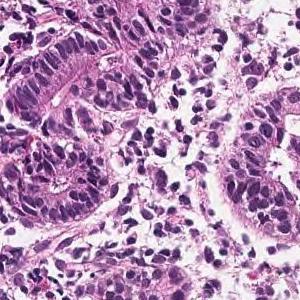
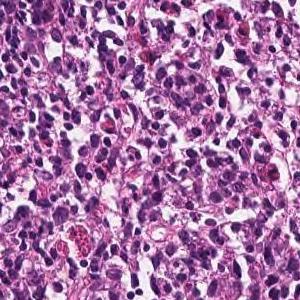
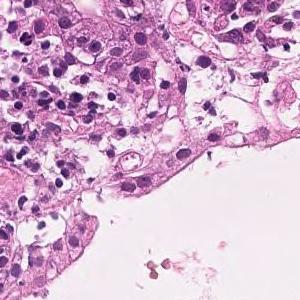
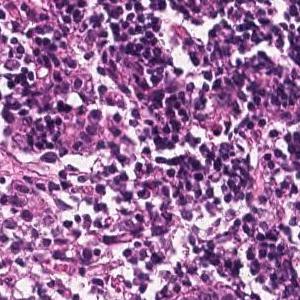
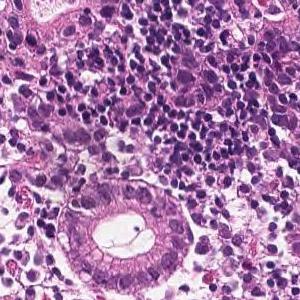
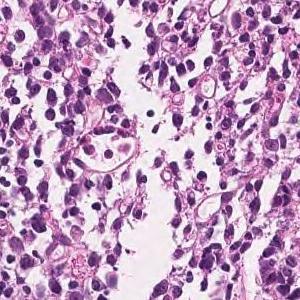
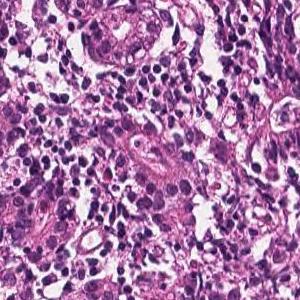
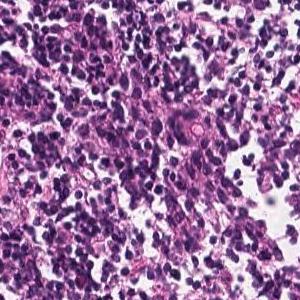
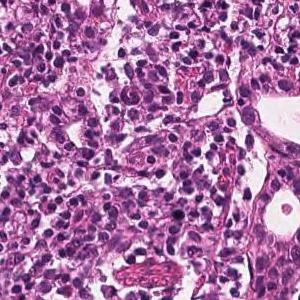
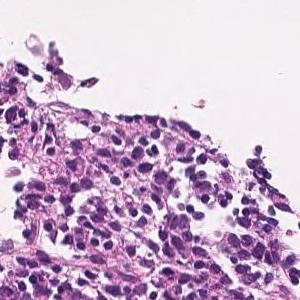
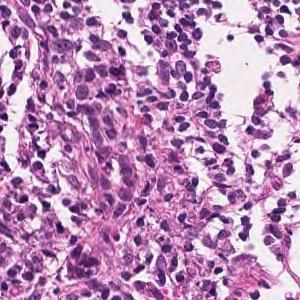
11 patches cut from one gastric biopsy slide; H&E.
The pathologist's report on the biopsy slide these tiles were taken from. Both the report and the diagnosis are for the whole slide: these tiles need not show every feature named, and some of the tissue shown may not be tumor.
Tumor tissue consisting of cord-like or small, irregular glandular ducts fused and infiltrated is observed in the superficial epithelium. Poorly differentiated adenocarcinoma, non-solid type
"Non-solid type" is a category of the Japanese Classification of Gastric Carcinoma.
